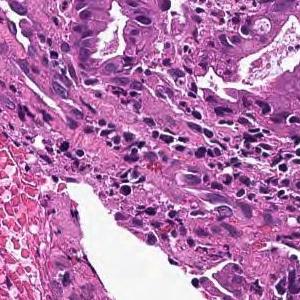
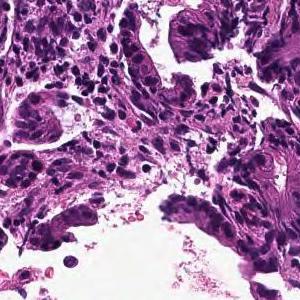
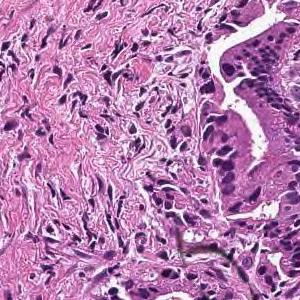
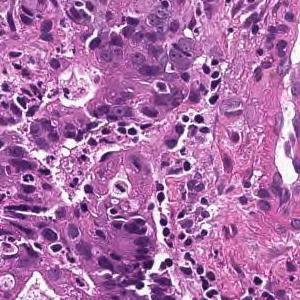
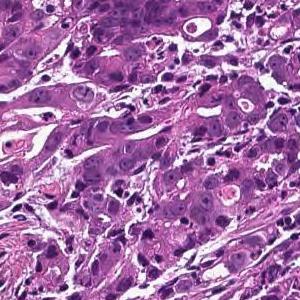
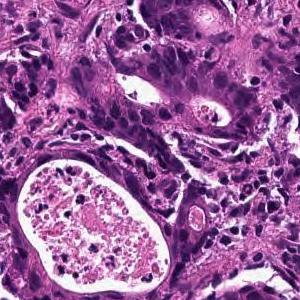
×20 · 6 tiles cut from one stomach biopsy slide · 300×300 px each.
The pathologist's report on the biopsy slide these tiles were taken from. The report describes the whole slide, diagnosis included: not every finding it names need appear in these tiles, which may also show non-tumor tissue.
In the superficial epithelium, tumor tissue that invades by forming medium-sized to small, irregular ducts is observed. moderately differentiated tubular adenocarcinoma.
